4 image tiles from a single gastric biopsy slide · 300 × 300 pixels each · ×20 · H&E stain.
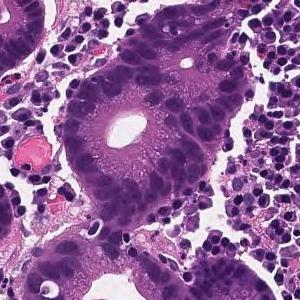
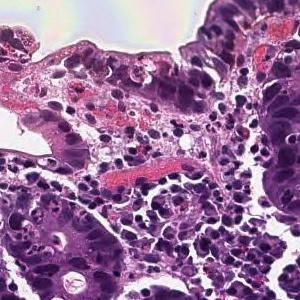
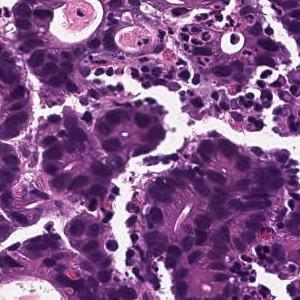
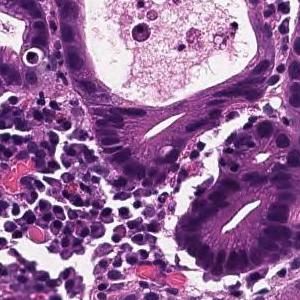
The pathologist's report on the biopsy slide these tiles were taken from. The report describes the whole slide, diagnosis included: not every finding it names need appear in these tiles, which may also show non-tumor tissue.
Cancer cells with strongly atypical nuclei grow while forming ducts showing lumens of various sizes. moderately differentiated tubular adenocarcinoma
